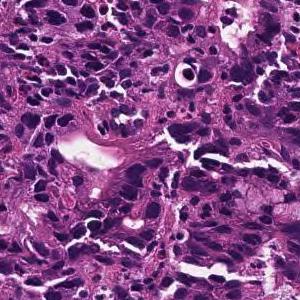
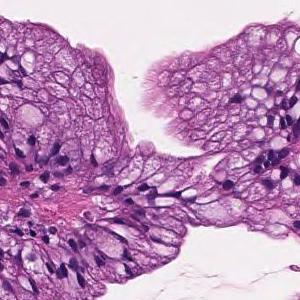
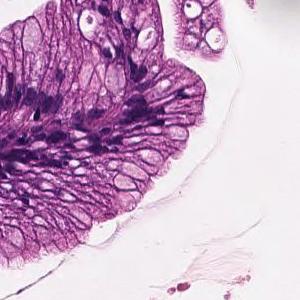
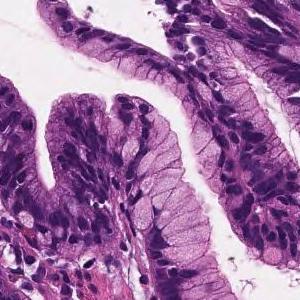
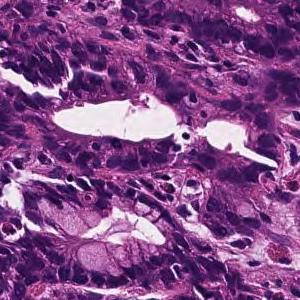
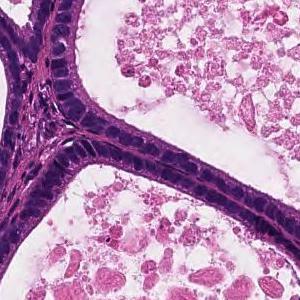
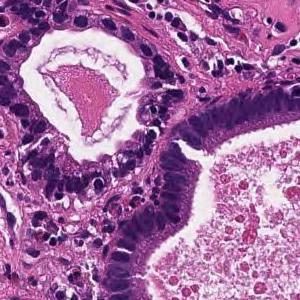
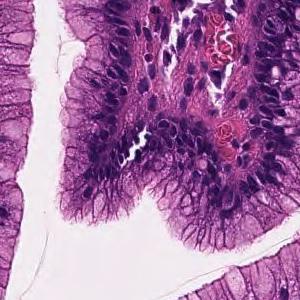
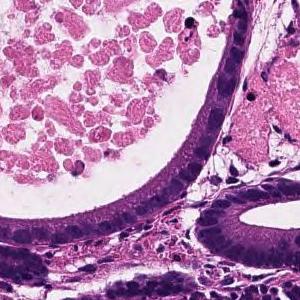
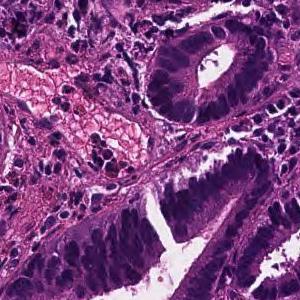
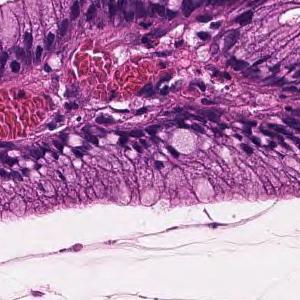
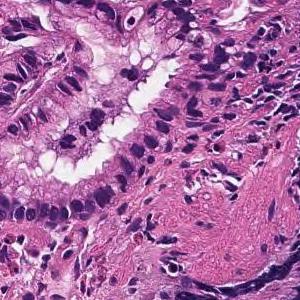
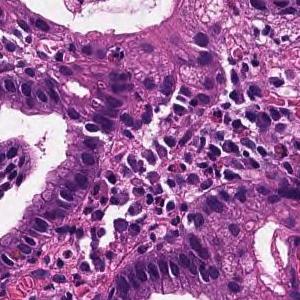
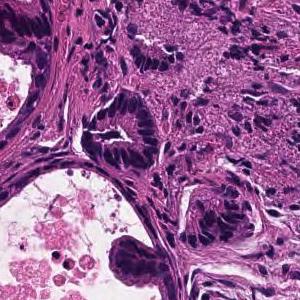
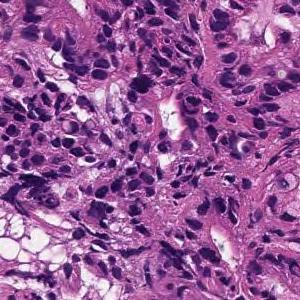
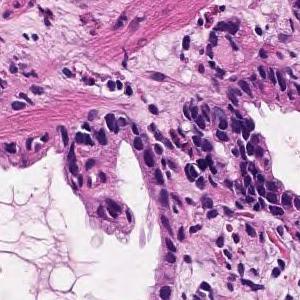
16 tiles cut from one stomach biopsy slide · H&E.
Pathology report for the biopsy slide these tiles were cut from. Both the report and the diagnosis are for the whole slide: these tiles need not show every feature named, and some of the tissue shown may not be tumor.
On the superficial epithelium, tumor tissue consisting of medium-sized and irregular glandular ducts partially fused and infiltrated is observed. Well to moderately differentiated tubular adenocarcinoma (well differentiated tubular adenocarcinoma-moderately differentiated tubular adenocarcinoma)
Tumor subtype: well to moderately differentiated tubular adenocarcinoma.
